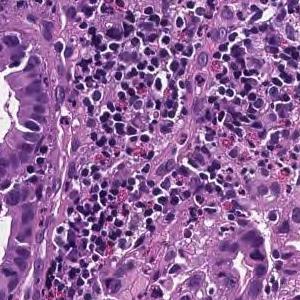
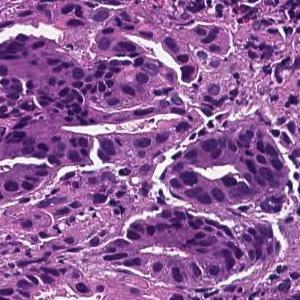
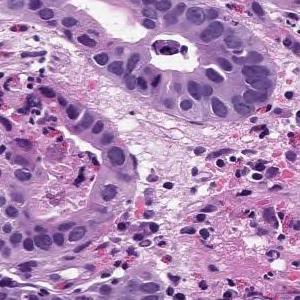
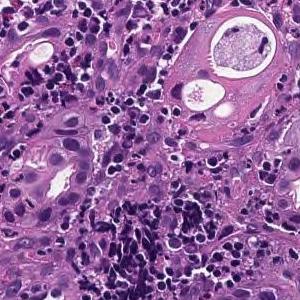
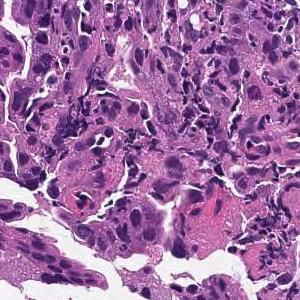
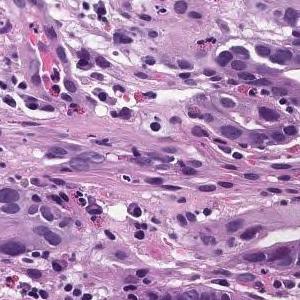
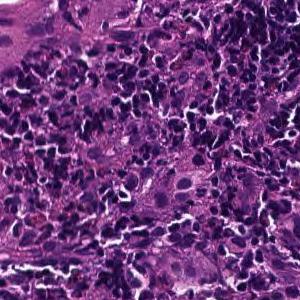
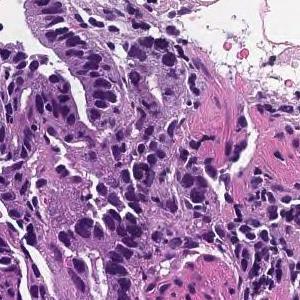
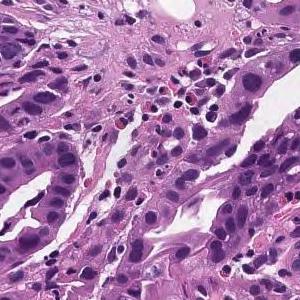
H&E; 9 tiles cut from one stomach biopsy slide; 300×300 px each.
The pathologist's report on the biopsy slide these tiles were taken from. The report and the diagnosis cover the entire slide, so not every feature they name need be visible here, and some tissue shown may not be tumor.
In the superficial epithelium, tumor tissue that invades by forming medium-sized to small, irregular ducts is observed. moderately differentiated tubular adenocarcinoma.
